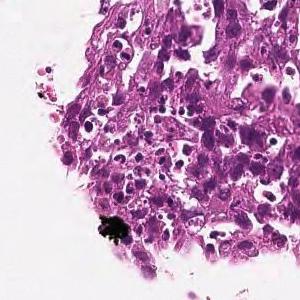
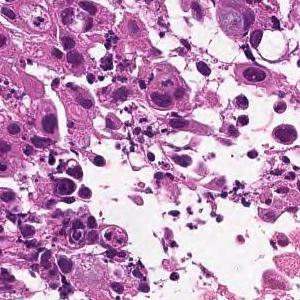
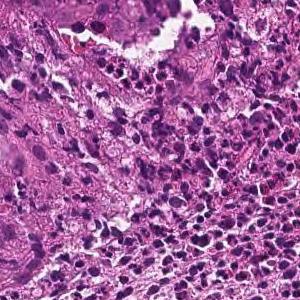
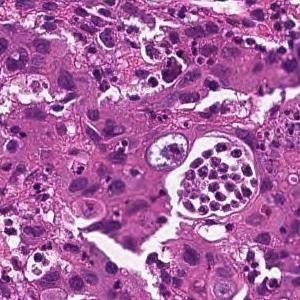
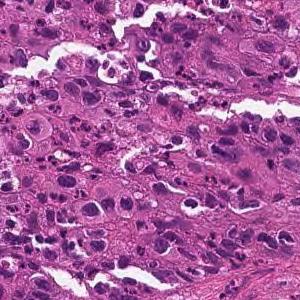
5 image tiles from a single gastric biopsy slide · H&E.
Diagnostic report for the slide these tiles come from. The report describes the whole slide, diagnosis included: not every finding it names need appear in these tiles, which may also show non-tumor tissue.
The superficial epithelium shows a large sheet-like shape, and some tumor tissue infiltrates with small irregular ducts. Poorly differentiated adenocarcinoma, solid-type
Histological subtype: Poorly differentiated adenocarcinoma, solid type, a category of the Japanese Classification of Gastric Carcinoma; in the WHO 2019 classification it is tubular adenocarcinoma, poorly differentiated.
